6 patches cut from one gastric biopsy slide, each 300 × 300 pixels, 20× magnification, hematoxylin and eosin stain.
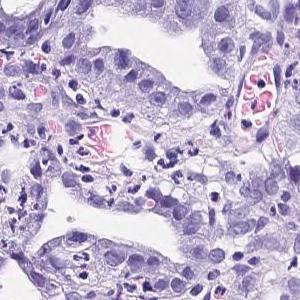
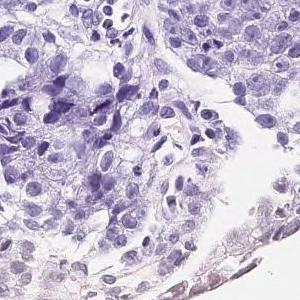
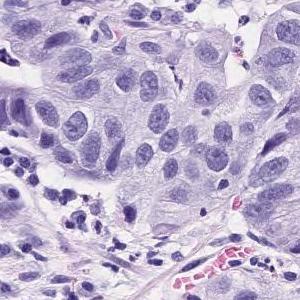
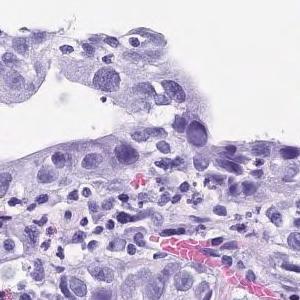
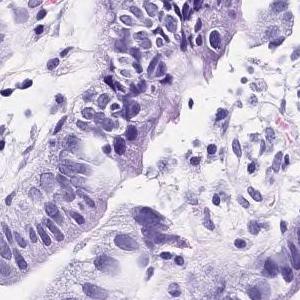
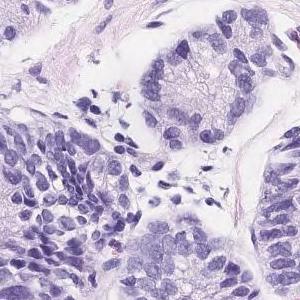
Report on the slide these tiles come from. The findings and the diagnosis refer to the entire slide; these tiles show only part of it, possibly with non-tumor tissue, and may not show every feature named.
Tumor tissue consisting of medium-sized and irregular ducts is observed infiltrating in the superficial epithelium. Tumor cells are highly columnar, with nuclei aligned basolaterally and polarized. Well differentiated tubular adenocarcinoma.
